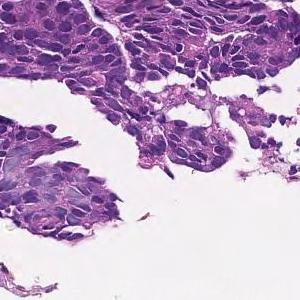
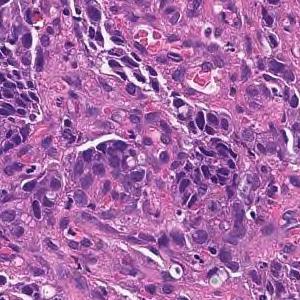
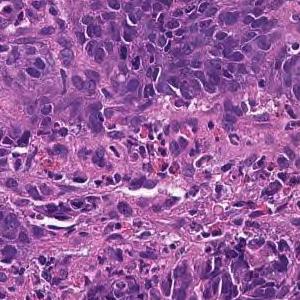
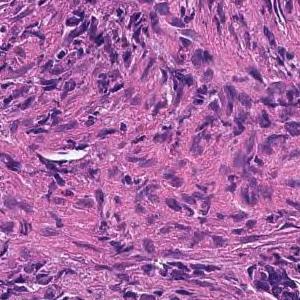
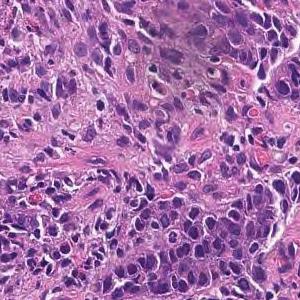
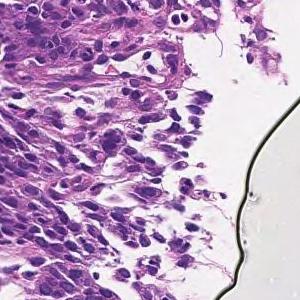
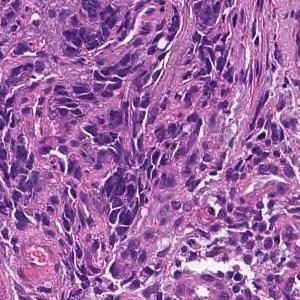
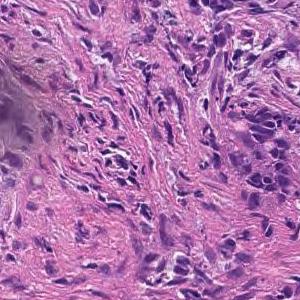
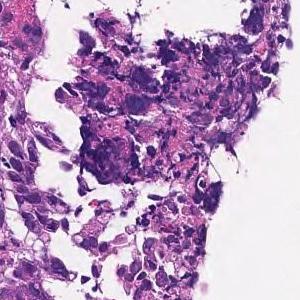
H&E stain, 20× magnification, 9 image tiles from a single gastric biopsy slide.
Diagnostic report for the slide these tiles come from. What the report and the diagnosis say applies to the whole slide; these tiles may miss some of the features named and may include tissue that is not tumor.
Tumor tissue consisting of cord-like or small, irregular glandular ducts fused and infiltrated is observed in the superficial epithelium. Poorly differentiated adenocarcinoma, non-solid type
The non-solid type named here is a Japanese Classification of Gastric Carcinoma category.
